5 tiles from the same stomach biopsy slide; hematoxylin and eosin stain; scanned at ×20.
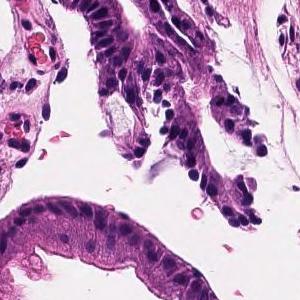
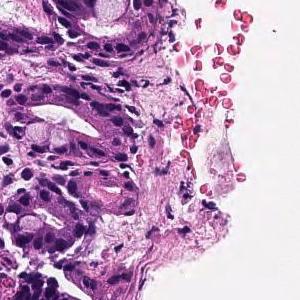
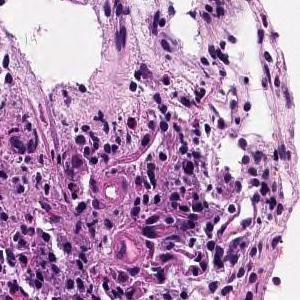
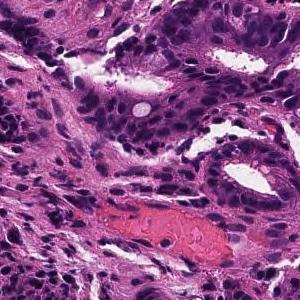
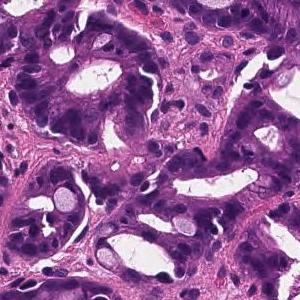
Report on the slide these tiles come from. The findings and the diagnosis refer to the entire slide; these tiles show only part of it, possibly with non-tumor tissue, and may not show every feature named.
From the superficial epithelium to the muscularis mucosae, tumor tissue consisting of medium-sized and irregular glandular ducts infiltrating is observed. Well differentiated tubular adenocarcinoma
